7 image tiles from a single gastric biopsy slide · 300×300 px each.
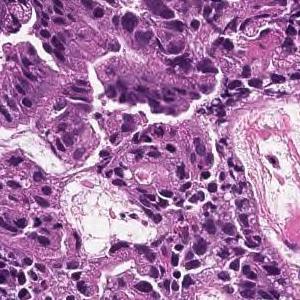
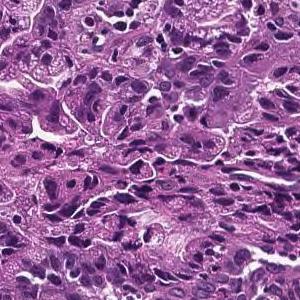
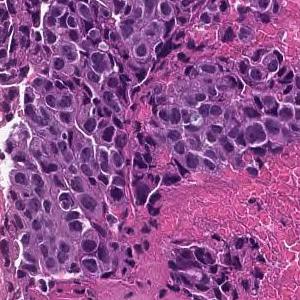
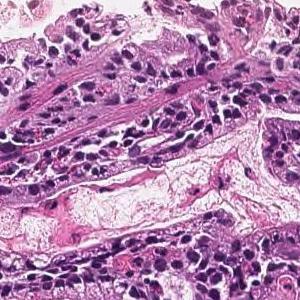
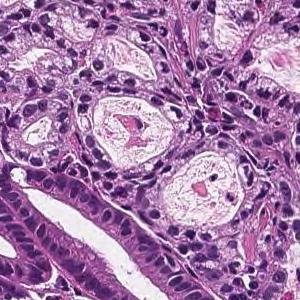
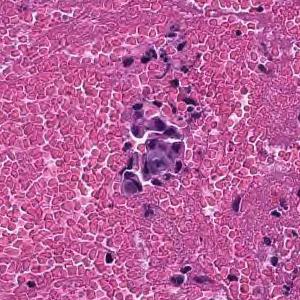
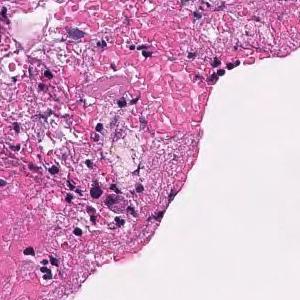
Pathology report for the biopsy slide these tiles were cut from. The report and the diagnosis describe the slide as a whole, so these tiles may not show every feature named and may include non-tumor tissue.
On the superficial epithelium, tumor tissue that infiltrates by forming medium-sized papillary or small irregular ducts is observed. Papillary adenocarcinoma
